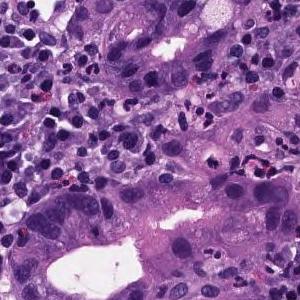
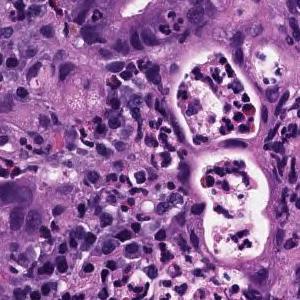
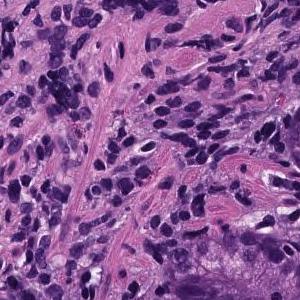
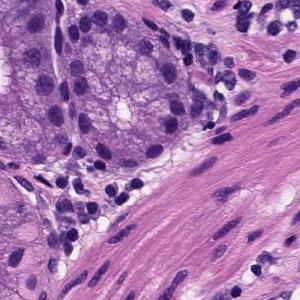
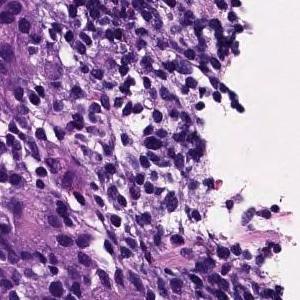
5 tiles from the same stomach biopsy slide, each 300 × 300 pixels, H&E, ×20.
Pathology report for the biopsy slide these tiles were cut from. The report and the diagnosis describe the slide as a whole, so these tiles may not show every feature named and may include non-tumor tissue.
Medium to small, irregular glandular ducts are formed in the superficial epithelium, and in some cases, the glandular ducts are fused to show solid alveolar lesions and infiltrating tumor tissue is observed. Moderately to poorly differentiated adenocarcinoma.
